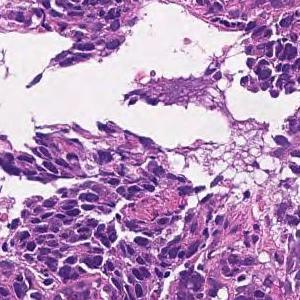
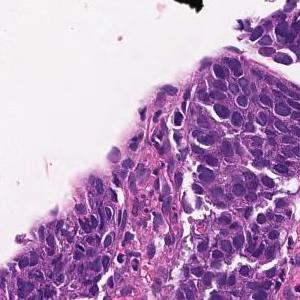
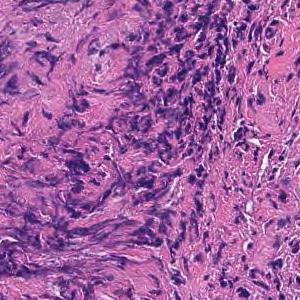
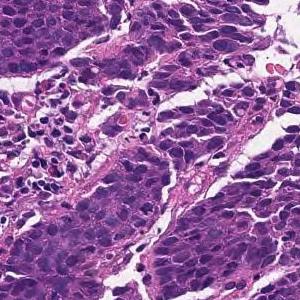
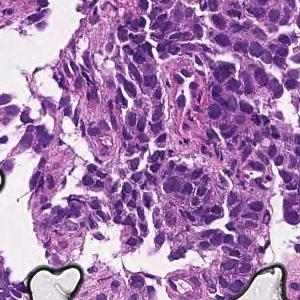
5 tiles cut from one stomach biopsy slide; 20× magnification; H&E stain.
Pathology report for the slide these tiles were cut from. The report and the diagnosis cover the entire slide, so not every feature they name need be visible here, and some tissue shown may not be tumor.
Tumor tissue consisting of cord-like or small, irregular glandular ducts fused and infiltrated is observed in the superficial epithelium. Poorly differentiated adenocarcinoma, non-solid type
The non-solid type named here is a Japanese Classification of Gastric Carcinoma category.
